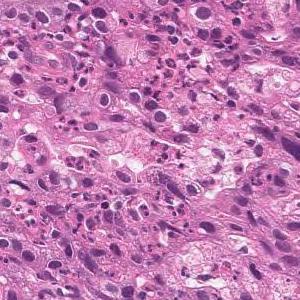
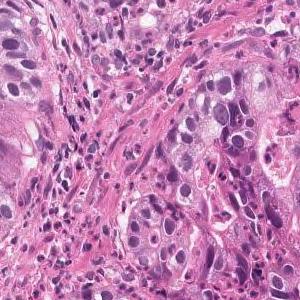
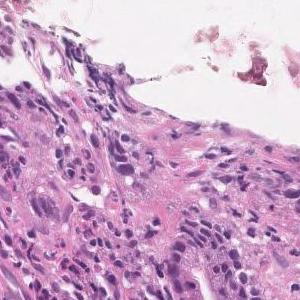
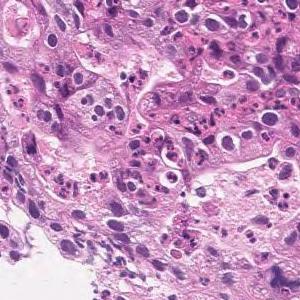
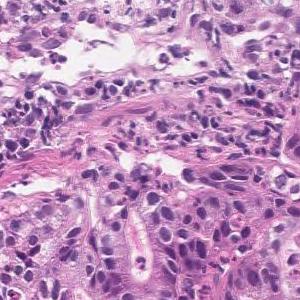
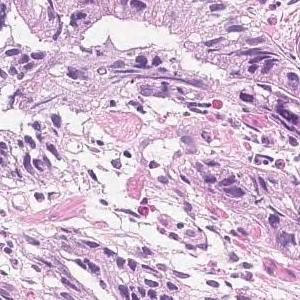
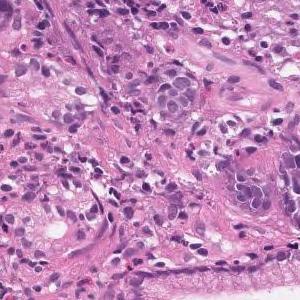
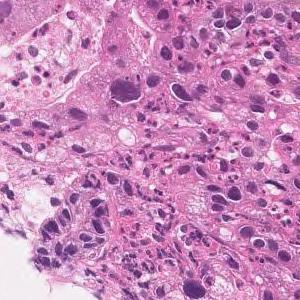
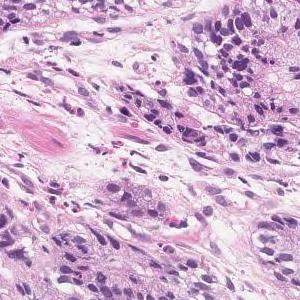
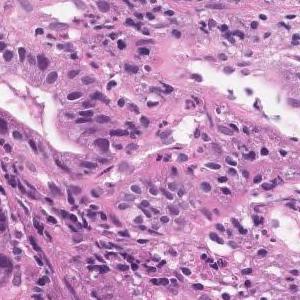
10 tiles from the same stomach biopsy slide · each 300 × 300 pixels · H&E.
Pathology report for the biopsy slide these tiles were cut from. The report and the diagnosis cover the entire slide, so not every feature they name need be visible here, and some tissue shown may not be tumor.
In the superficial epithelium, tumor tissue that invades by forming medium-sized to small, irregular ducts is observed. Moderately differentiated adenocarcinoma.
Classified as moderately differentiated tubular adenocarcinoma.
